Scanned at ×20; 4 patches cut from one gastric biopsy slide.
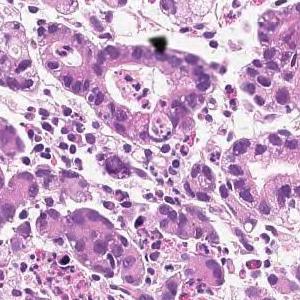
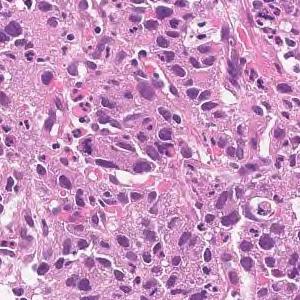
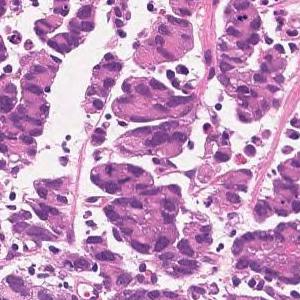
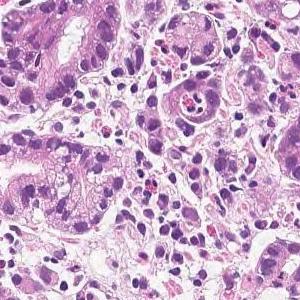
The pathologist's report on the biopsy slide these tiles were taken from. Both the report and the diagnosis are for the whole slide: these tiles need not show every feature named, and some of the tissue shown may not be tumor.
Medium to small, irregular glandular ducts are formed in the superficial epithelium, and in some cases, the glandular ducts are fused to show solid alveolar lesions and infiltrating tumor tissue is observed. Moderately to poorly differentiated adenocarcinoma.
